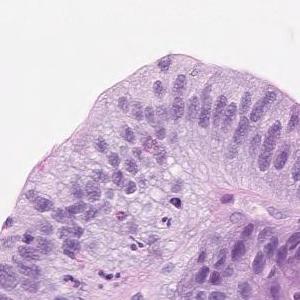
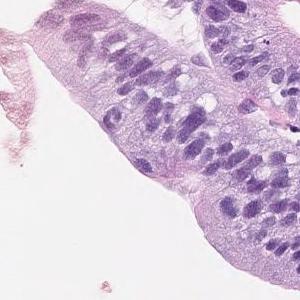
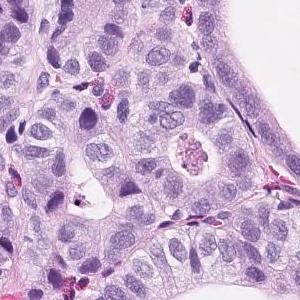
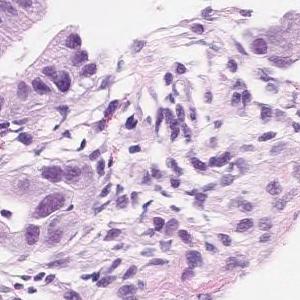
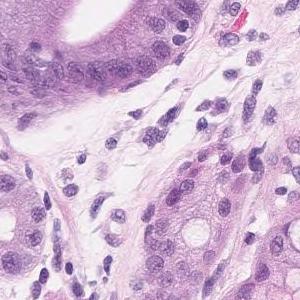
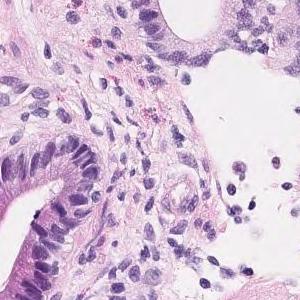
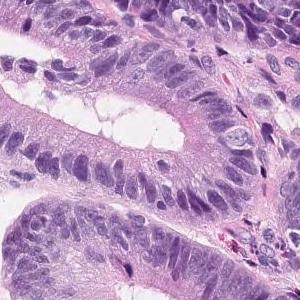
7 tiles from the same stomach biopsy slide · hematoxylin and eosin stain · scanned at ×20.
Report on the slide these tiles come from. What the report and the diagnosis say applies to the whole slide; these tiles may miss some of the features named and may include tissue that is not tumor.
Short atypical epithelium with swelling of the nucleus shows proliferating, large and small irregular ductal structures. Well to moderately differentiated tubular adenocarcinoma (well differentiated tubular adenocarcinoma-moderately differentiated tubular adenocarcinoma)
Histologic type: Well to moderately differentiated tubular adenocarcinoma.
